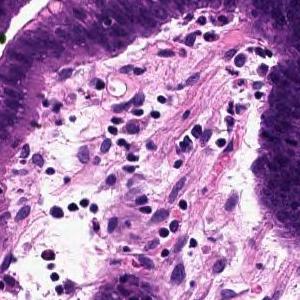
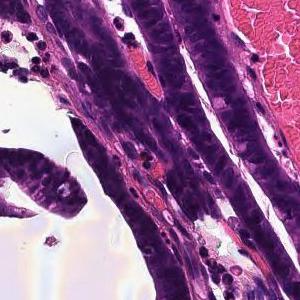
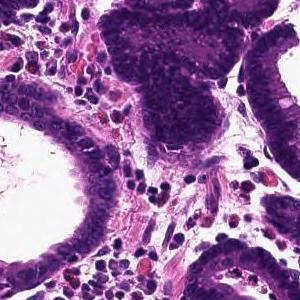
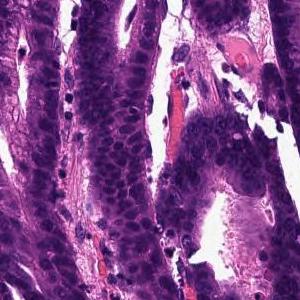
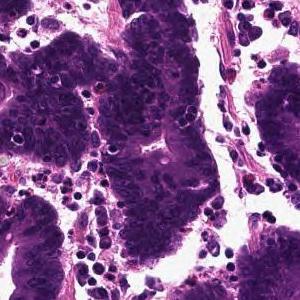
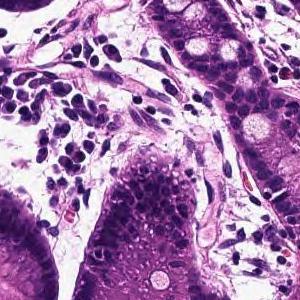
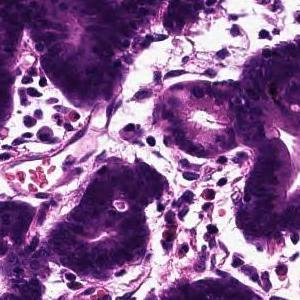
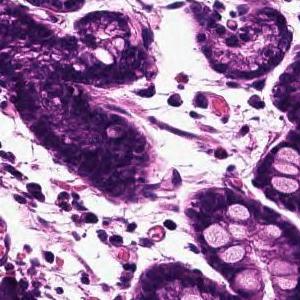
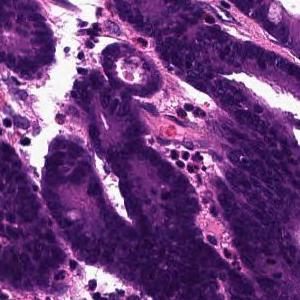
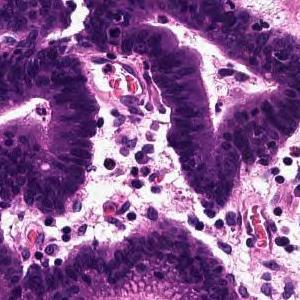
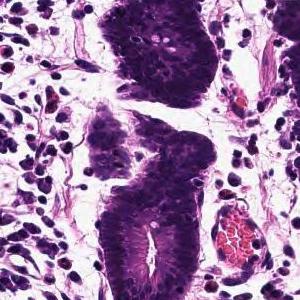
11 tiles cut from one stomach biopsy slide; 300×300 px each; ×20.
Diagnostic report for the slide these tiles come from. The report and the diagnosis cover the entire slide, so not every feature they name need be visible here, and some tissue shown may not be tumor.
Tumor tissue that infiltrates by forming large papillary or large irregular glandular ducts is observed confined to the mucosa. Papillary adenocarcinoma
